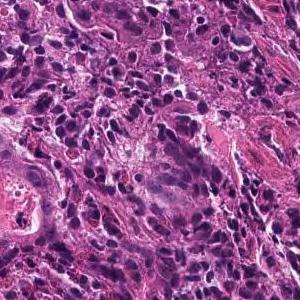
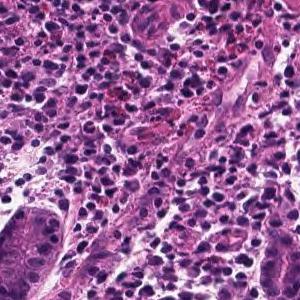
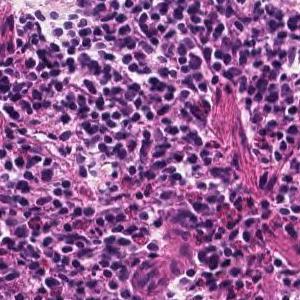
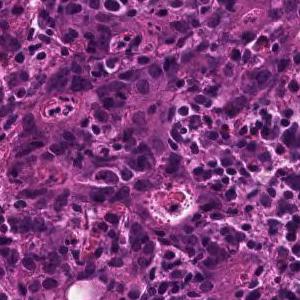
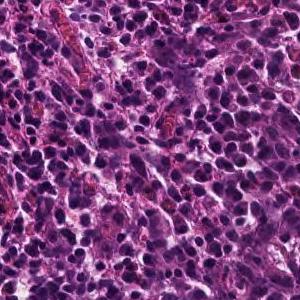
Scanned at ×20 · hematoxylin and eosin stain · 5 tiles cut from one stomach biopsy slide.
The pathologist's report on the biopsy slide these tiles were taken from. The report and the diagnosis describe the slide as a whole, so these tiles may not show every feature named and may include non-tumor tissue.
Tumor tissue consisting of medium-sized, cord-like or irregular glandular infiltration is observed in the superficial epithelium. Poorly differentiated adenocarcinoma, non-solid type or moderately differentiated tubular adenocarcinoma
Dataset label: poorly differentiated adenocarcinoma, non-solid type.
The non-solid type named here is a Japanese Classification of Gastric Carcinoma category.
